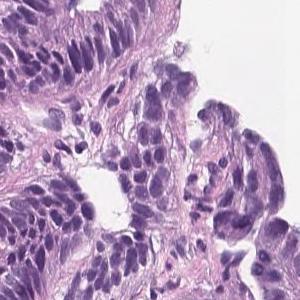
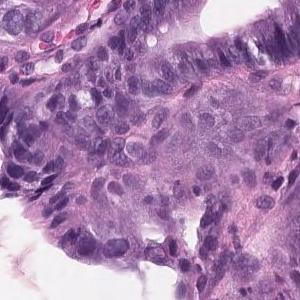
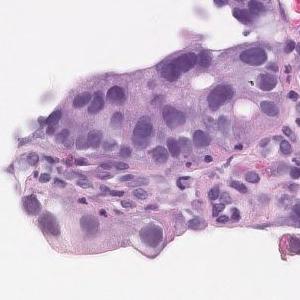
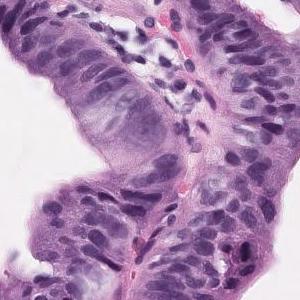
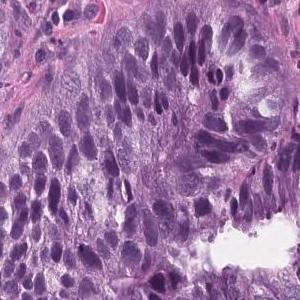
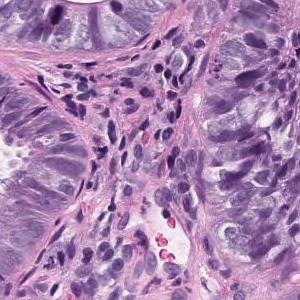
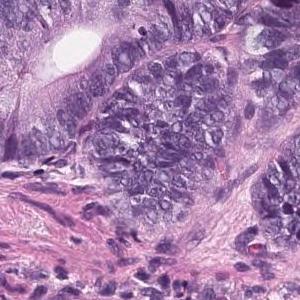
7 tiles from the same stomach biopsy slide · each 300 × 300 pixels.
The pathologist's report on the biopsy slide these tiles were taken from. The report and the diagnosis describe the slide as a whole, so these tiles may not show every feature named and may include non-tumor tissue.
Tumor tissue consisting of medium-sized and irregular ducts is observed infiltrating in the superficial epithelium. Tumor cells are highly columnar, with nuclei aligned basolaterally and polarized. Well differentiated tubular adenocarcinoma.
